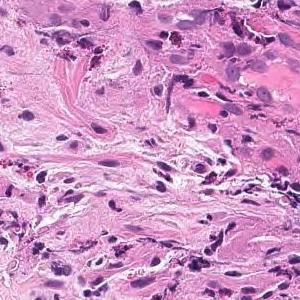
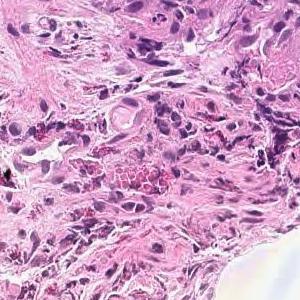
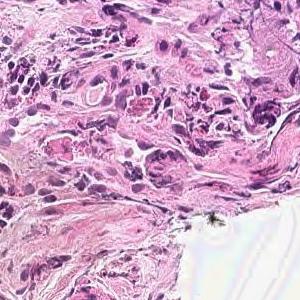
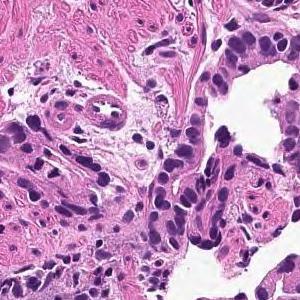
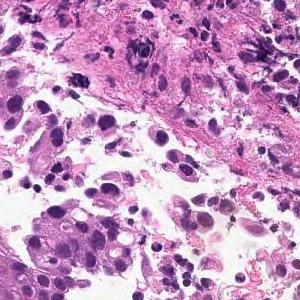
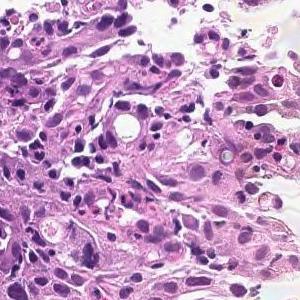
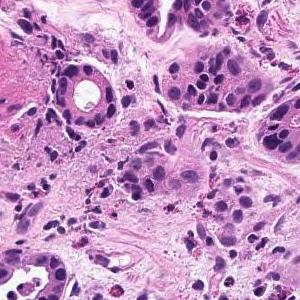
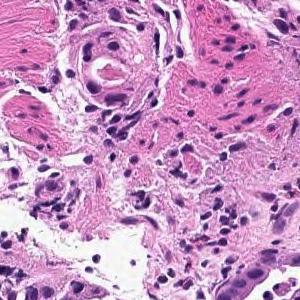
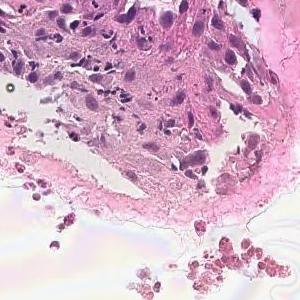
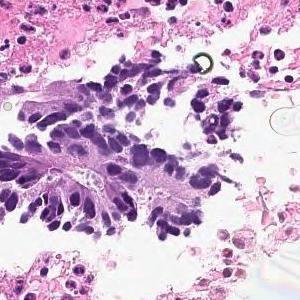
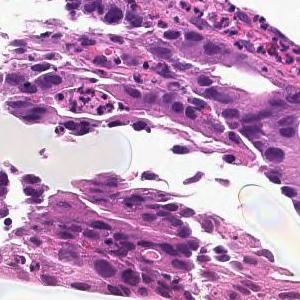
11 patches cut from one gastric biopsy slide; each 300 × 300 pixels; H&E; ×20.
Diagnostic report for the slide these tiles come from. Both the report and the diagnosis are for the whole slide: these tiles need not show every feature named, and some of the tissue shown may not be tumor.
On the superficial epithelium, tumor tissue consisting of large irregular glandular ducts partially fused and infiltrated is observed. Well to moderately differentiated tubular adenocarcinoma (well differentiated tubular adenocarcinoma, moderately differentiated tubular adenocarcinoma)
Histologic type: Well to moderately differentiated tubular adenocarcinoma.
